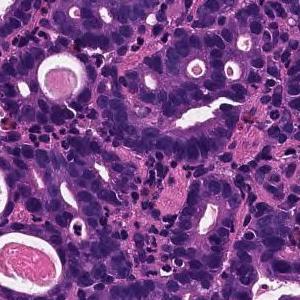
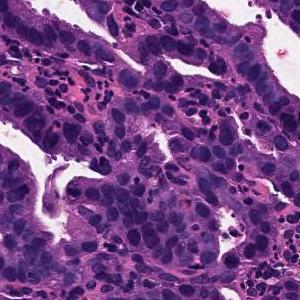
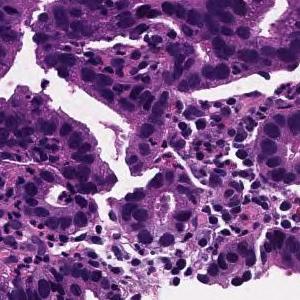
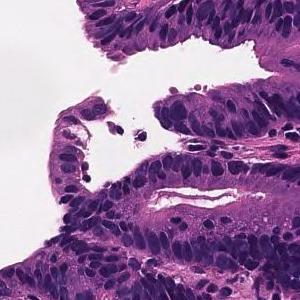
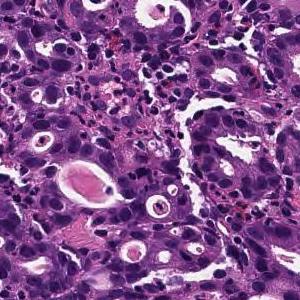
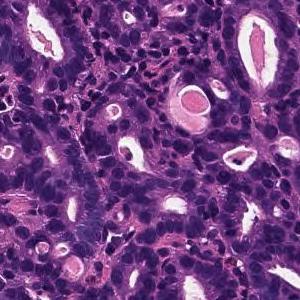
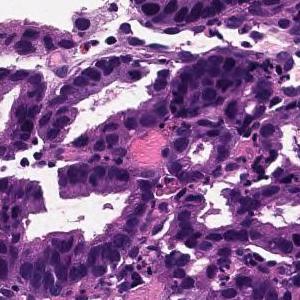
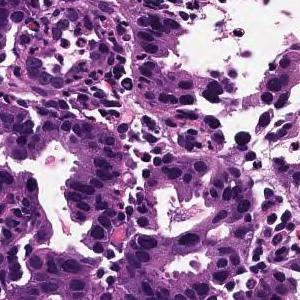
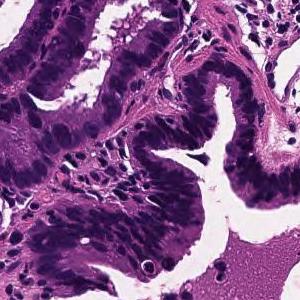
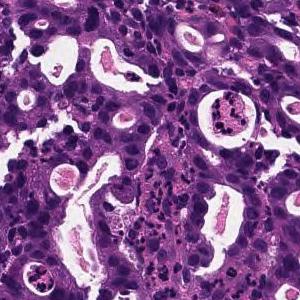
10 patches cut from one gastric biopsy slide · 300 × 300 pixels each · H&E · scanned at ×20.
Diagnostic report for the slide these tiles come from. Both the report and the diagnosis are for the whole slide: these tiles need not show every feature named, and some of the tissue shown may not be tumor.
On the superficial epithelium, tumor tissue is found in which medium-sized irregular gland ducts fuse with each other and infiltrate. moderately differentiated tubular adenocarcinoma
